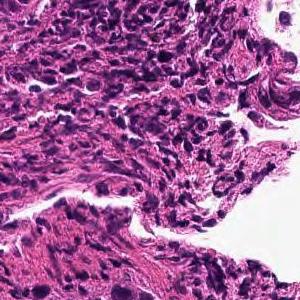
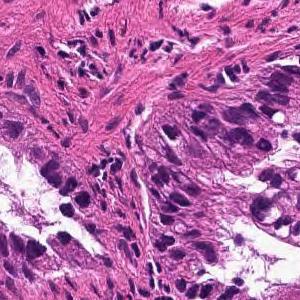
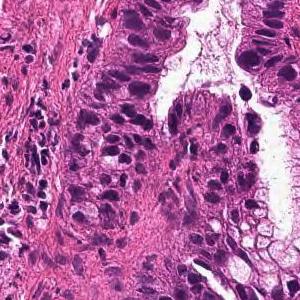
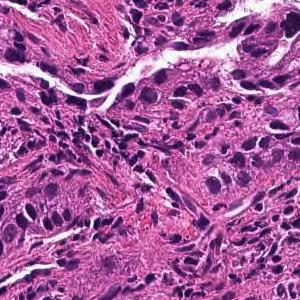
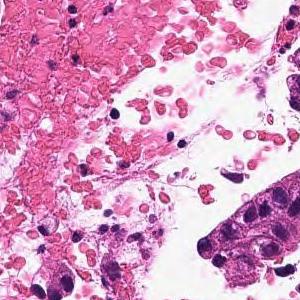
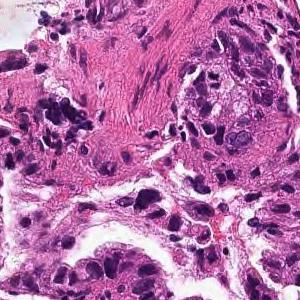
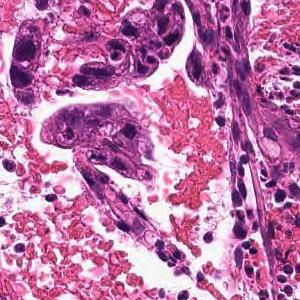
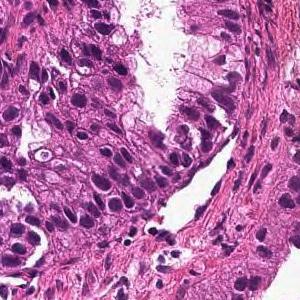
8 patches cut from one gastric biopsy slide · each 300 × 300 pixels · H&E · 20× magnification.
Diagnostic report for the slide these tiles come from. The report and the diagnosis cover the entire slide, so not every feature they name need be visible here, and some tissue shown may not be tumor.
From the superficial epithelium to the muscularis mucosae, tumor tissue infiltrating by forming medium-sized irregular gland ducts is observed. Well differentiated tubular adenocarcinoma
